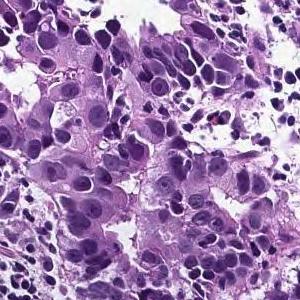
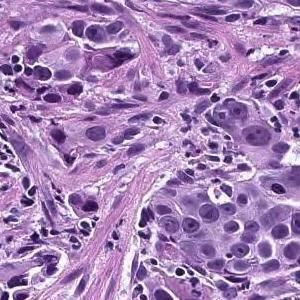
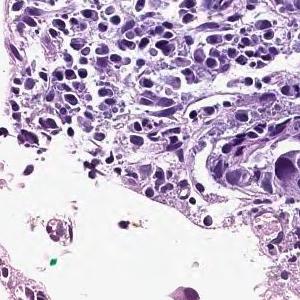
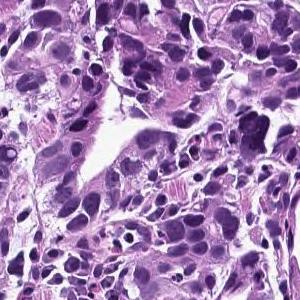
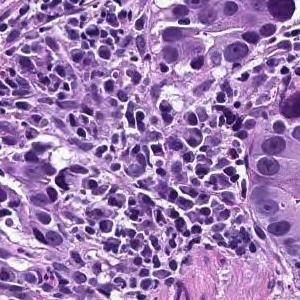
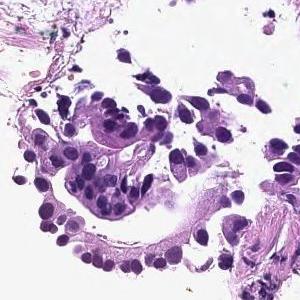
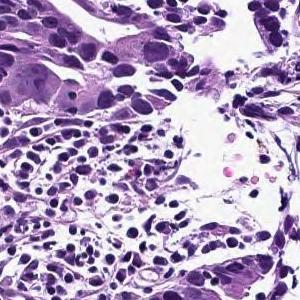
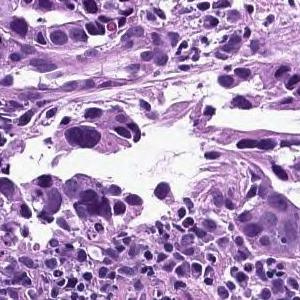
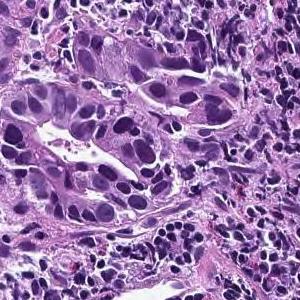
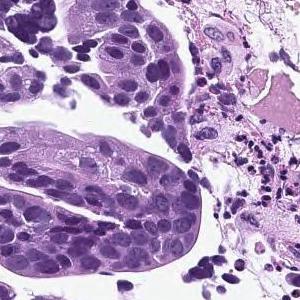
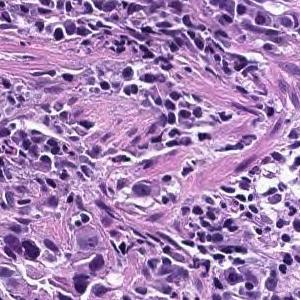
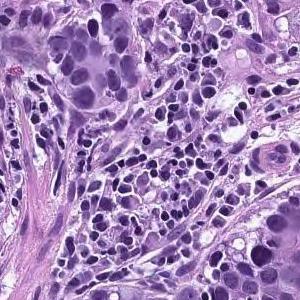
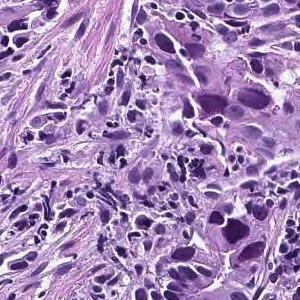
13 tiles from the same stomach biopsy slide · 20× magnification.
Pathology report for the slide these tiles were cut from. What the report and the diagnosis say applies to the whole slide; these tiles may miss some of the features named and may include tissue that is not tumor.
In the superficial epithelium, tumor tissue that invades by forming medium-sized to small, irregular ducts is observed. moderately differentiated tubular adenocarcinoma.
